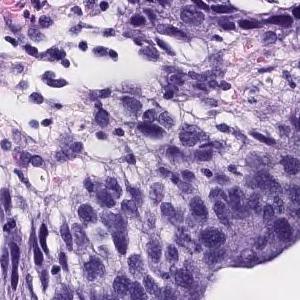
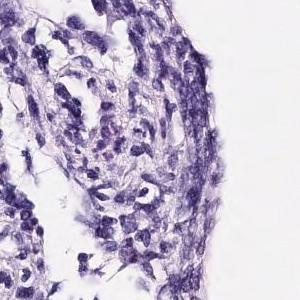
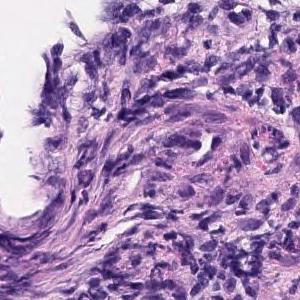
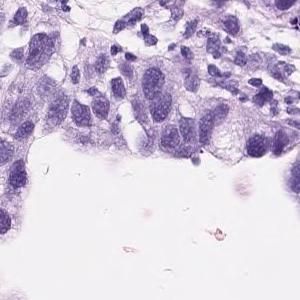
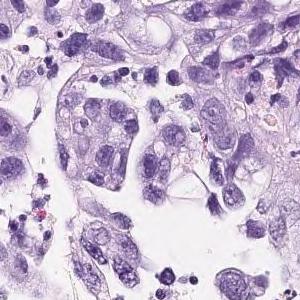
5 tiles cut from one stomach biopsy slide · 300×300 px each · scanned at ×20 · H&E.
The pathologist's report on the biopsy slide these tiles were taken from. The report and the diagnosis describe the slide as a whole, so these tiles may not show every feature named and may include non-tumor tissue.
On the superficial epithelium, tumor tissue consisting of medium to small irregular tubules partially fused and proliferated is observed. moderately differentiated tubular adenocarcinoma
